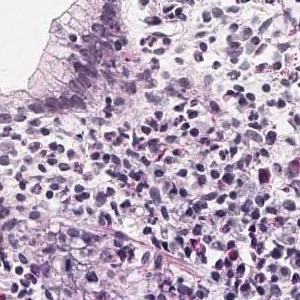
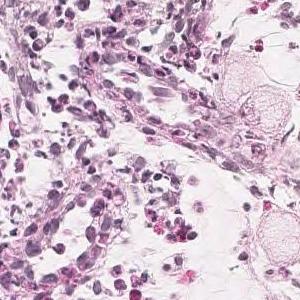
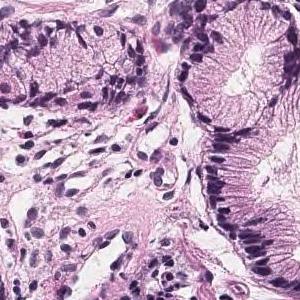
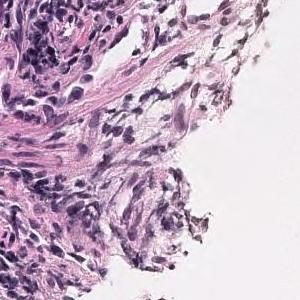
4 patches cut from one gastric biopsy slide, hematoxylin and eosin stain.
Diagnostic report for the slide these tiles come from. The report and the diagnosis cover the entire slide, so not every feature they name need be visible here, and some tissue shown may not be tumor.
Tumor tissue is observed in which atypical epithelial cells with mucus in the vesicles proliferate while being isolated. Signet ring cell carcinoma
